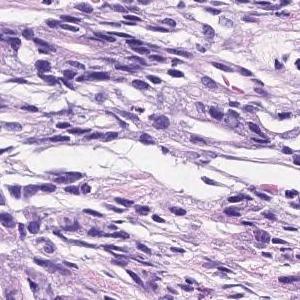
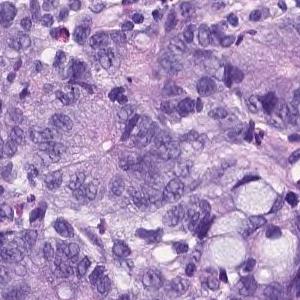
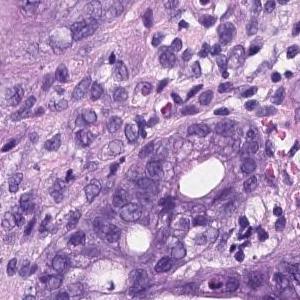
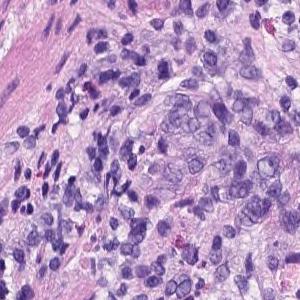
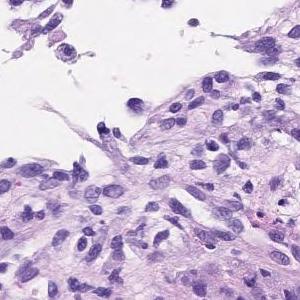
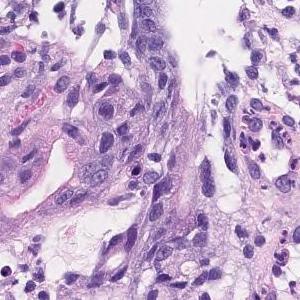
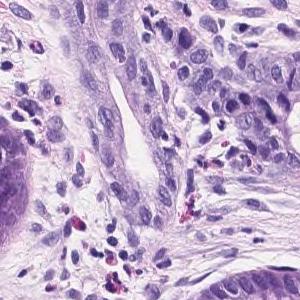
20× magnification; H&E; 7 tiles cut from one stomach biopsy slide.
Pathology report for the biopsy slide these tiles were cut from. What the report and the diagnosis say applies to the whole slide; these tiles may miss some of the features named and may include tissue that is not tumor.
Irregularly fused atypical ducts proliferating while replacing existing ducts was observed. moderately differentiated tubular adenocarcinoma
